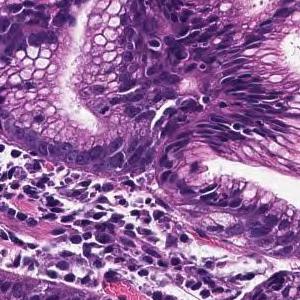
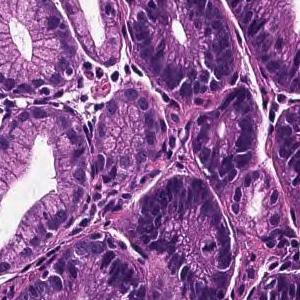
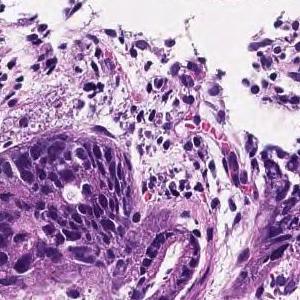
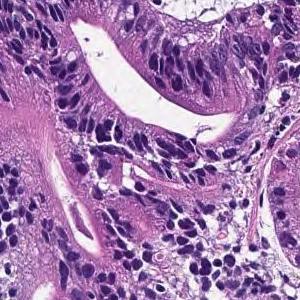
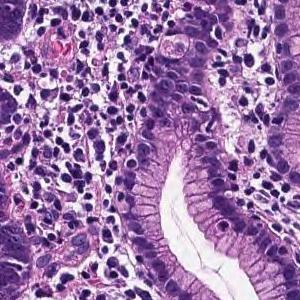
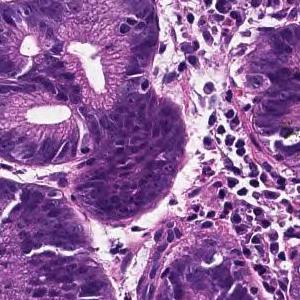
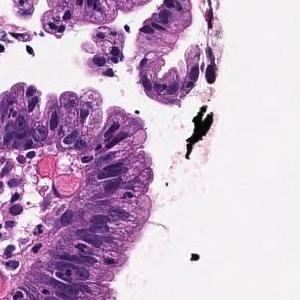
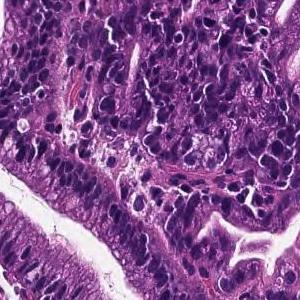
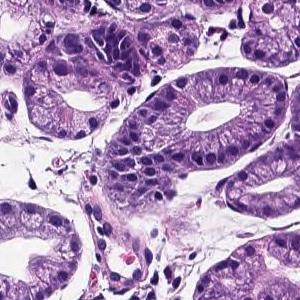
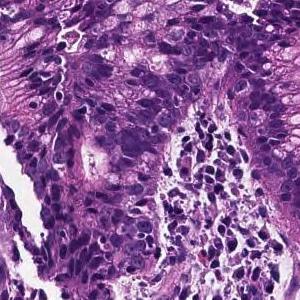
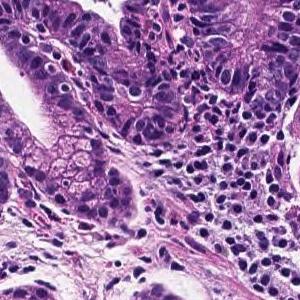
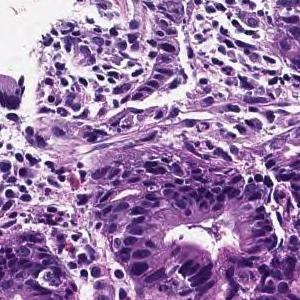
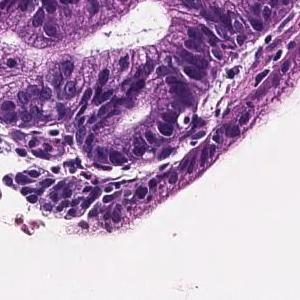
13 tiles from the same stomach biopsy slide · scanned at ×20.
Report on the slide these tiles come from. Both the report and the diagnosis are for the whole slide: these tiles need not show every feature named, and some of the tissue shown may not be tumor.
From the superficial epithelium to the muscularis mucosae, tumor tissue consisting of medium-sized and irregular glandular ducts infiltrating is observed. Well differentiated tubular adenocarcinoma
